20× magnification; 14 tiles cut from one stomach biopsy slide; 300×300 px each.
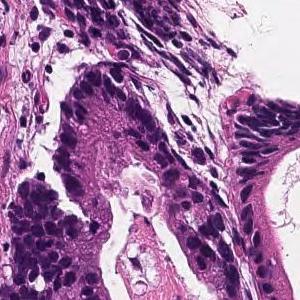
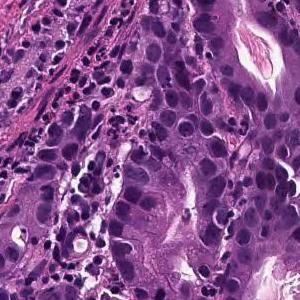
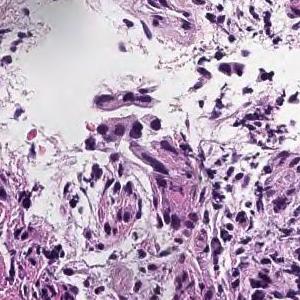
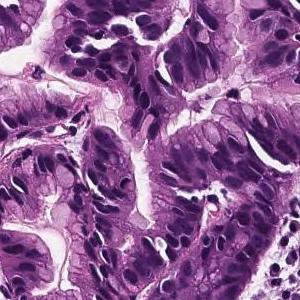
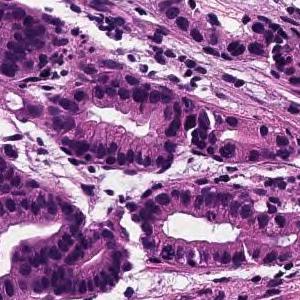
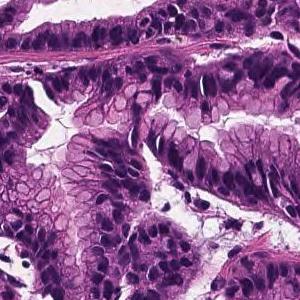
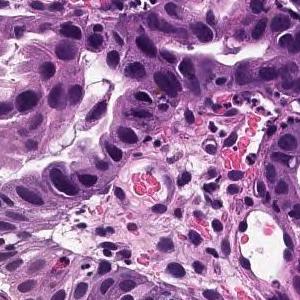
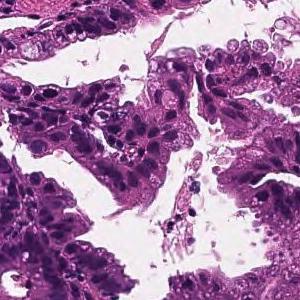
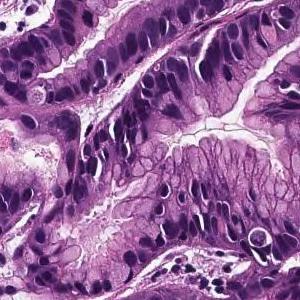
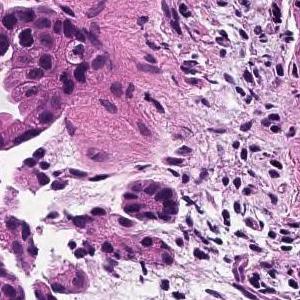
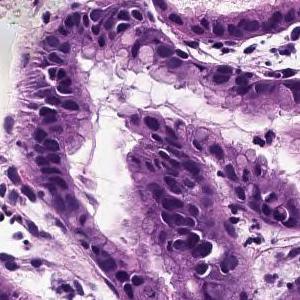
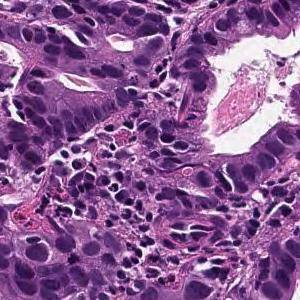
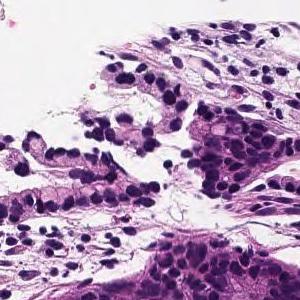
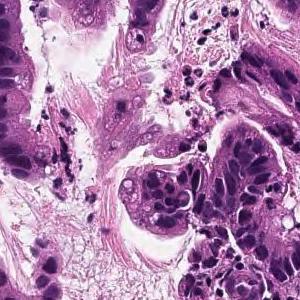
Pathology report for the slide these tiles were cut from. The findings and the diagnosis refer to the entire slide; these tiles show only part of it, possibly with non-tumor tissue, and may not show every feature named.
Tumor cells are large, highly columnar, large club-shaped nuclei, and are associated with chromatin aggregation. Papillary adenocarcinoma.
